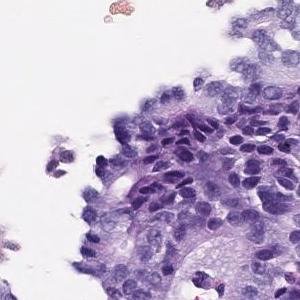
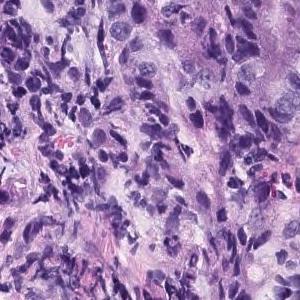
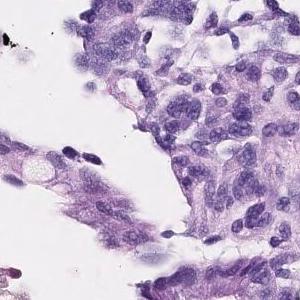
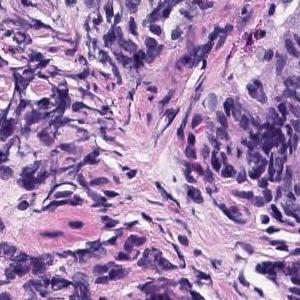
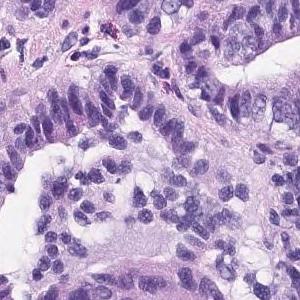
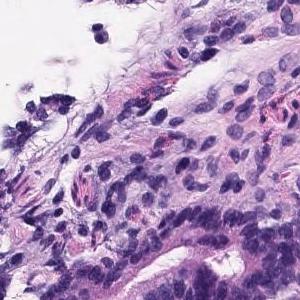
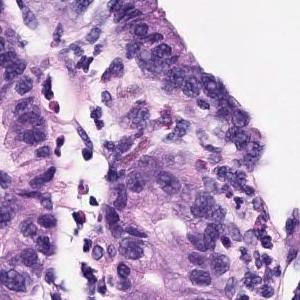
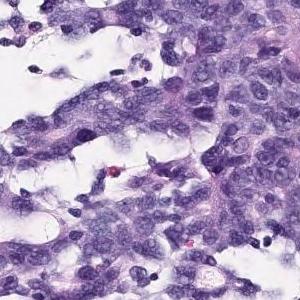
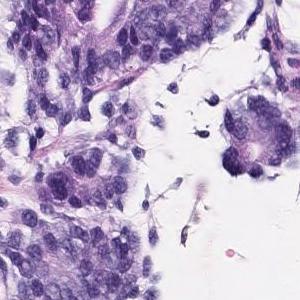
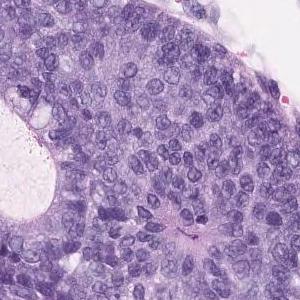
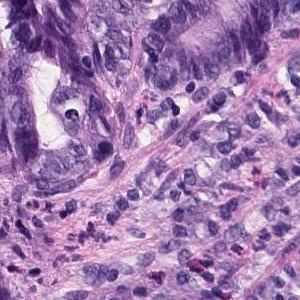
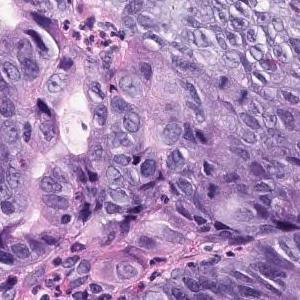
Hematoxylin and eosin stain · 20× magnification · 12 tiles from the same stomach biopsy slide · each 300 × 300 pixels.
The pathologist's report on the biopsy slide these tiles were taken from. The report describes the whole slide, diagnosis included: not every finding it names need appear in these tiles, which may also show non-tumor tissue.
In the superficial epithelium, tumor tissue that invades by forming medium-sized to small, irregular ducts is observed. Well to moderately differentiated tubular adenocarcinoma.
